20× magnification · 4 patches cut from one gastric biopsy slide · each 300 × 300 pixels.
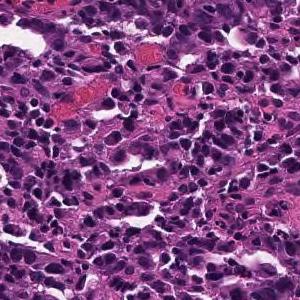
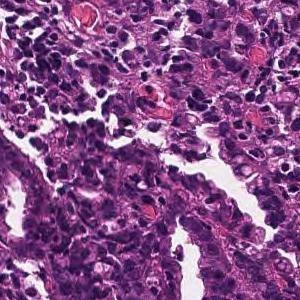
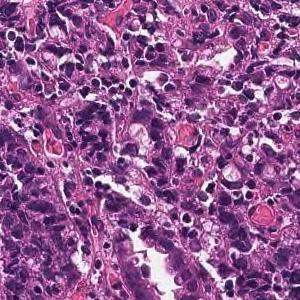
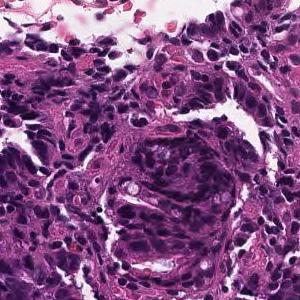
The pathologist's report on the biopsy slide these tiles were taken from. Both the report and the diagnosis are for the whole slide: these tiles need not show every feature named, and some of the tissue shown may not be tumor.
In the superficial epithelium, tumor tissue that invades by forming medium-sized to small, irregular ducts is observed. moderately differentiated tubular adenocarcinoma.
